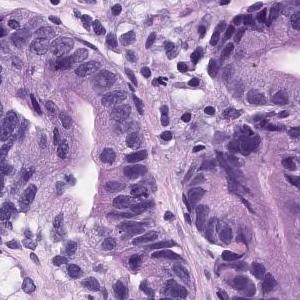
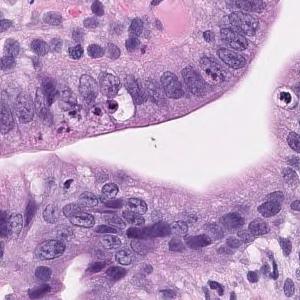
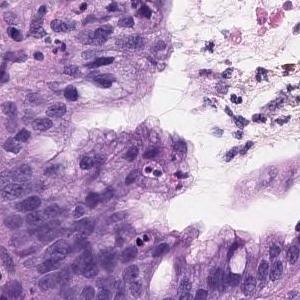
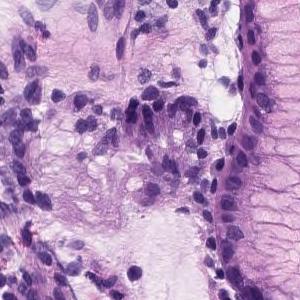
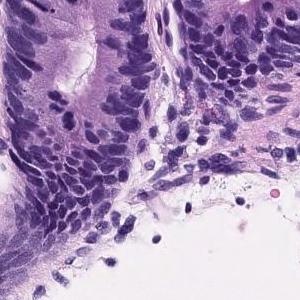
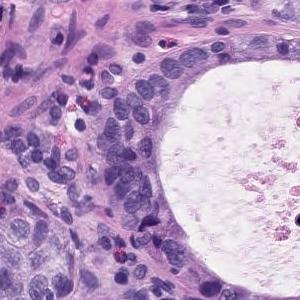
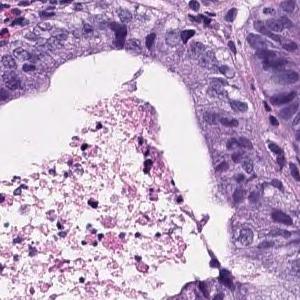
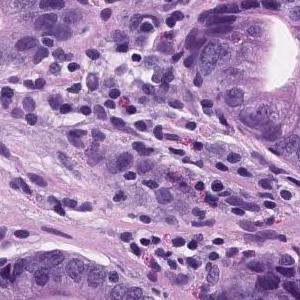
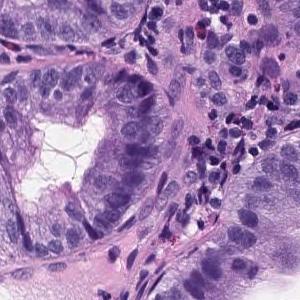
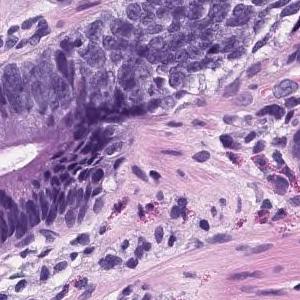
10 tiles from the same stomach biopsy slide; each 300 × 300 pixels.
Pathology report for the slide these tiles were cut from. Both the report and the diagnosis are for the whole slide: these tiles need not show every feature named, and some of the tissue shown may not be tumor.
Tumor tissue consisting of medium-sized and irregular ducts is observed infiltrating in the superficial epithelium. Tumor cells are highly columnar, with nuclei aligned basolaterally and polarized. Well differentiated tubular adenocarcinoma.
